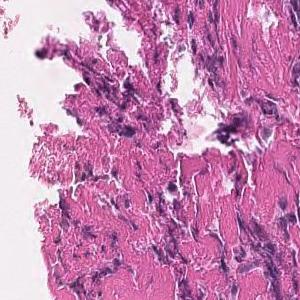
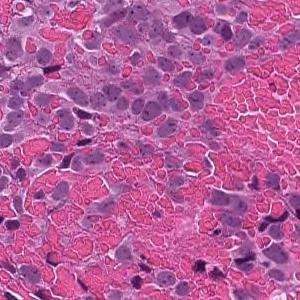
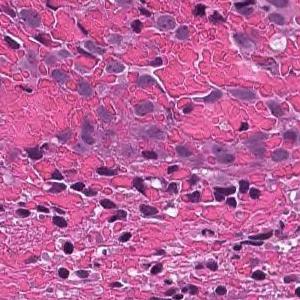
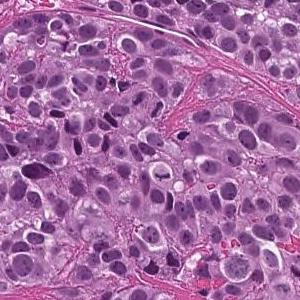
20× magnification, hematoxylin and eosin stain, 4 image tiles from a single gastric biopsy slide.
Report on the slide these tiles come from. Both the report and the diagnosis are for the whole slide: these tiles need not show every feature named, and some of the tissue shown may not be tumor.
The superficial epithelium shows a large sheet-like shape, and some tumor tissue infiltrates with small irregular ducts. Poorly differentiated adenocarcinoma, solid-type
Classified as poorly differentiated adenocarcinoma, solid type, a category of the Japanese Classification of Gastric Carcinoma; in the WHO 2019 classification it is tubular adenocarcinoma, poorly differentiated.
